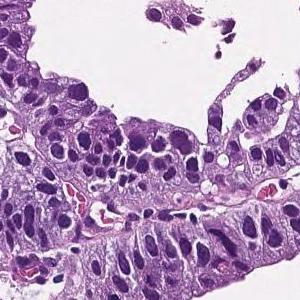
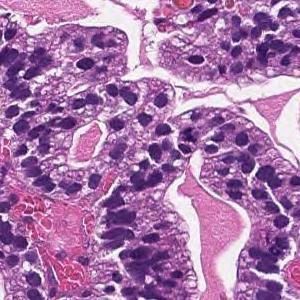
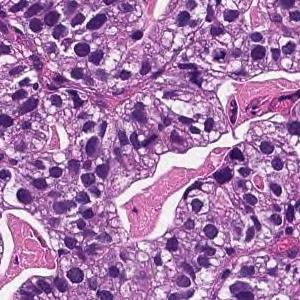
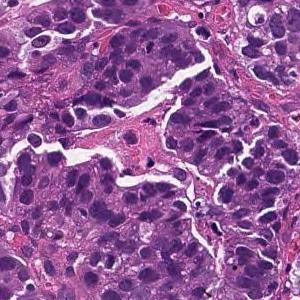
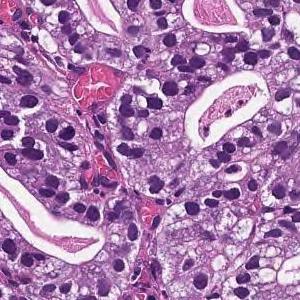
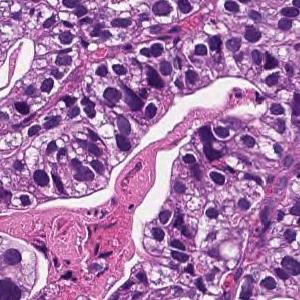
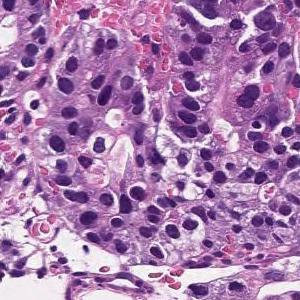
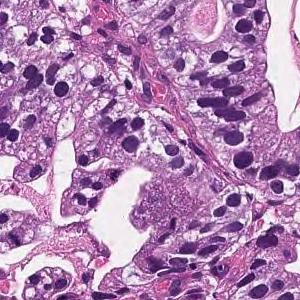
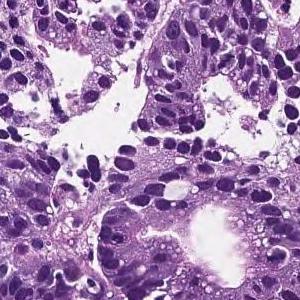
9 image tiles from a single gastric biopsy slide · 300 × 300 pixels each · 20× magnification · hematoxylin and eosin stain.
Pathology report for the slide these tiles were cut from. Both the report and the diagnosis are for the whole slide: these tiles need not show every feature named, and some of the tissue shown may not be tumor.
On the superficial epithelium, tumor tissue consisting of large, irregular glandular ducts partially fused and infiltrated is observed. Well to moderately differentiated tubular adenocarcinoma (well differentiated tubular adenocarcinoma, moderately differentiated tubular adenocarcinoma)
Histologic type: Well to moderately differentiated tubular adenocarcinoma.
